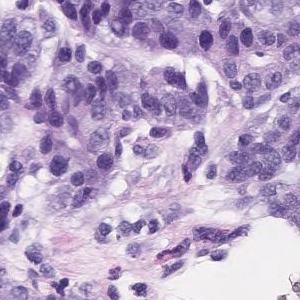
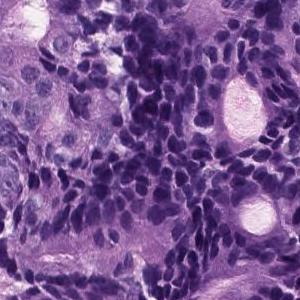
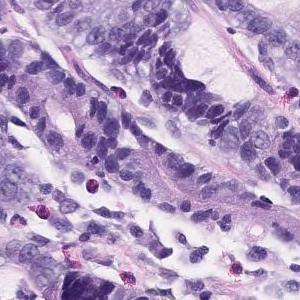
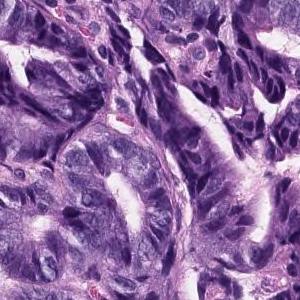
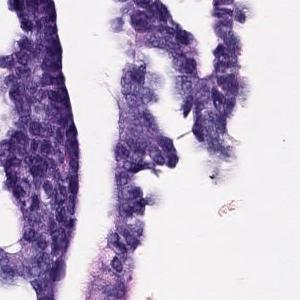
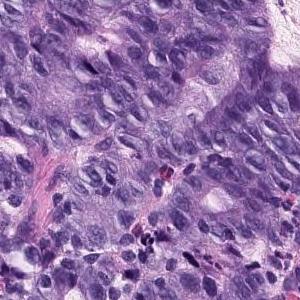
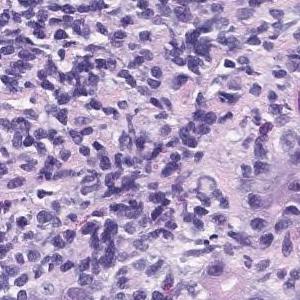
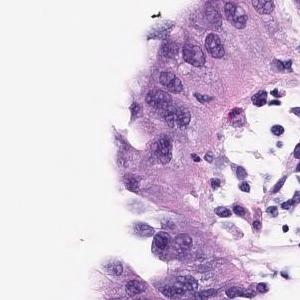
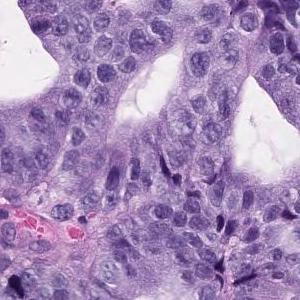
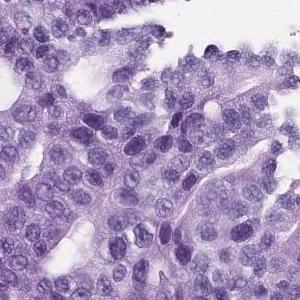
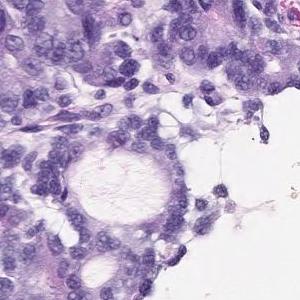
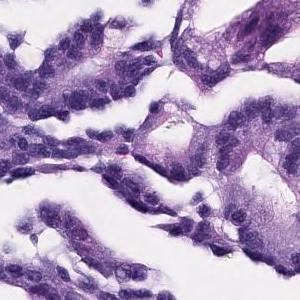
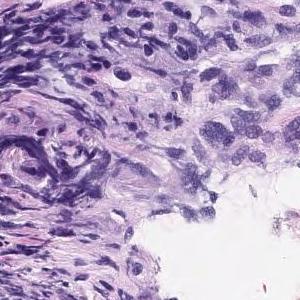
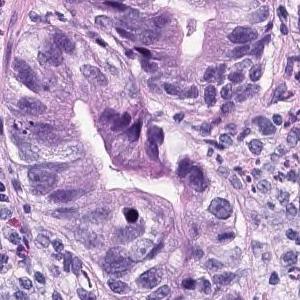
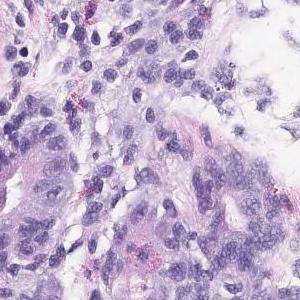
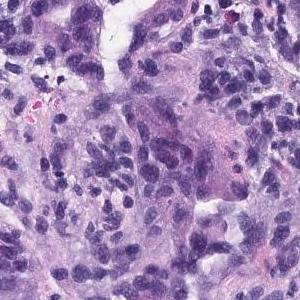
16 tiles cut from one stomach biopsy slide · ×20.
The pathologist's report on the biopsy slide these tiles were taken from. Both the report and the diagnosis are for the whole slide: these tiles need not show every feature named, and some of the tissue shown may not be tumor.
In the superficial epithelium, tumor tissue that invades by forming medium-sized to small, irregular ducts is observed. Well to moderately differentiated tubular adenocarcinoma.
